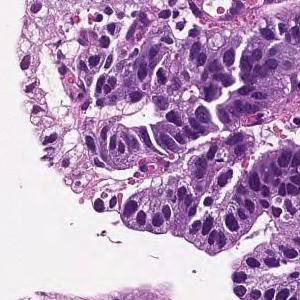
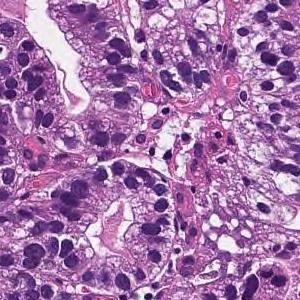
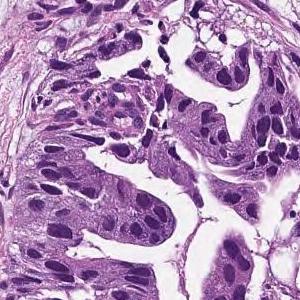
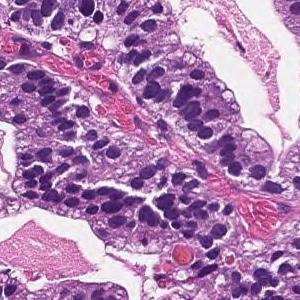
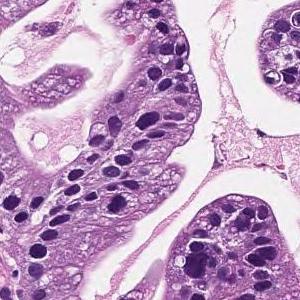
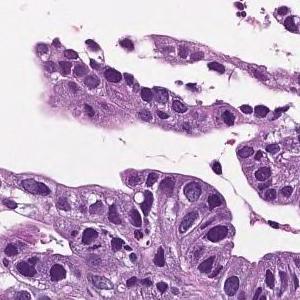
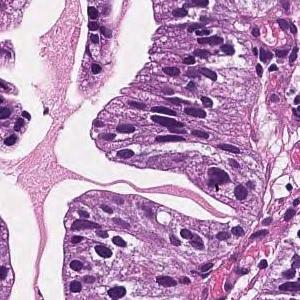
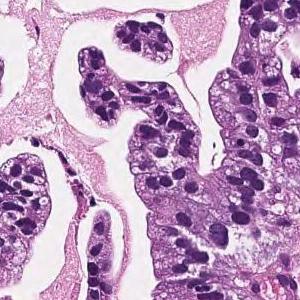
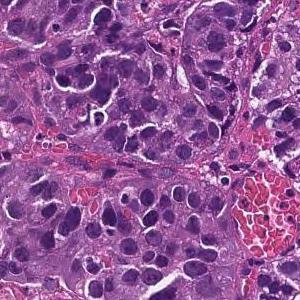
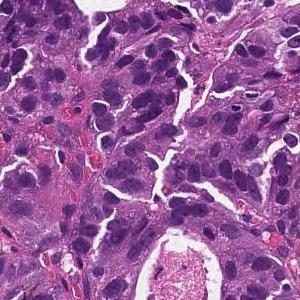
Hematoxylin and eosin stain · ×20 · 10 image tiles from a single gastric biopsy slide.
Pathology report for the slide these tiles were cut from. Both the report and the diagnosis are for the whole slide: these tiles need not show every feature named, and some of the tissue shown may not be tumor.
On the superficial epithelium, tumor tissue consisting of large, irregular glandular ducts partially fused and infiltrated is observed. Well to moderately differentiated tubular adenocarcinoma (well differentiated tubular adenocarcinoma, moderately differentiated tubular adenocarcinoma)
Subtype: Well to moderately differentiated tubular adenocarcinoma.
